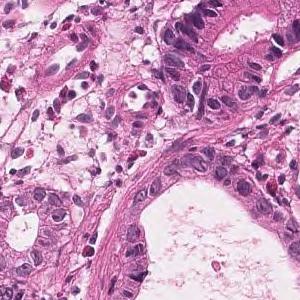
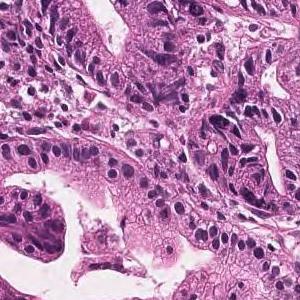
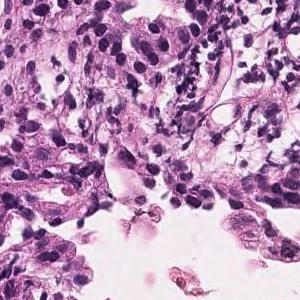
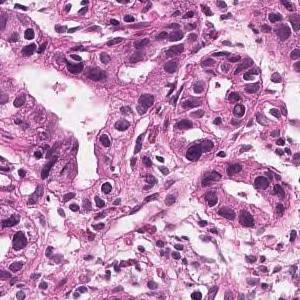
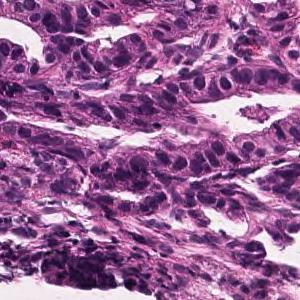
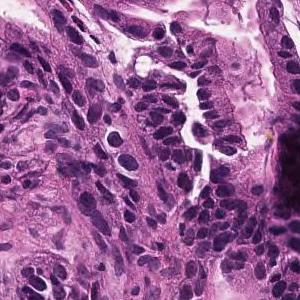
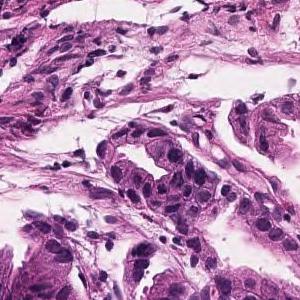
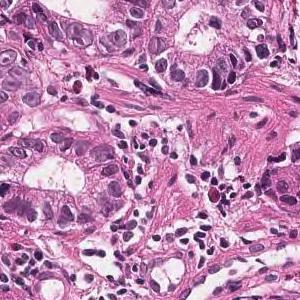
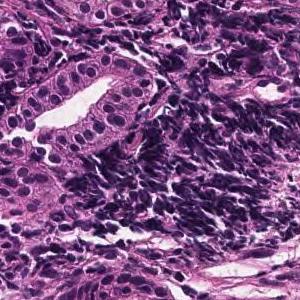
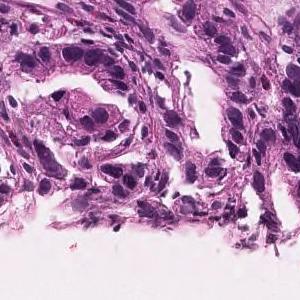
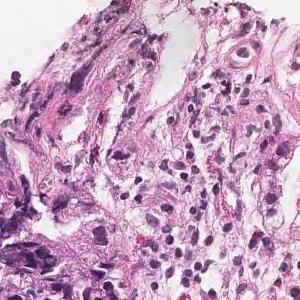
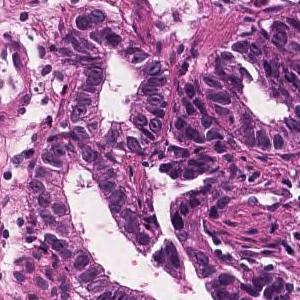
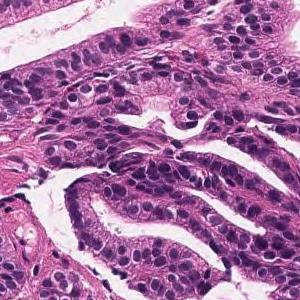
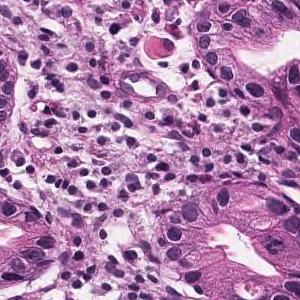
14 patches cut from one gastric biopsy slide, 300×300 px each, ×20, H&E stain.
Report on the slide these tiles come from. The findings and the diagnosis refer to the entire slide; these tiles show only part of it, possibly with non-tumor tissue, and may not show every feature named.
Tumor tissue consisting of medium-sized and irregular ducts is observed infiltrating in the superficial epithelium. Tumor cells are highly columnar, with nuclei aligned basolaterally and polarized. Well differentiated tubular adenocarcinoma.
